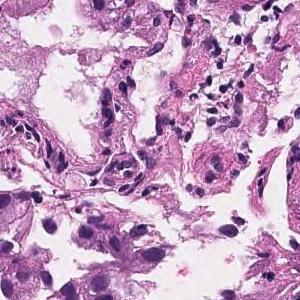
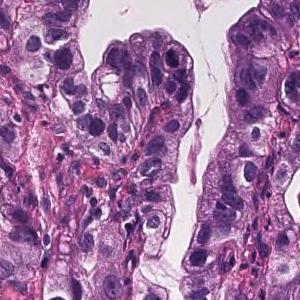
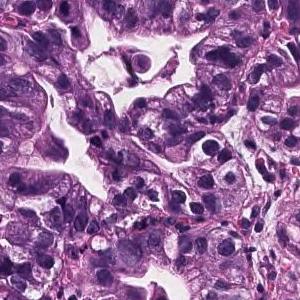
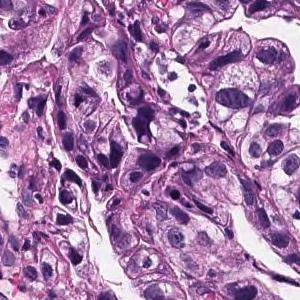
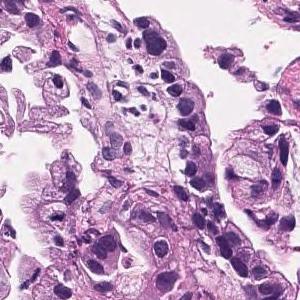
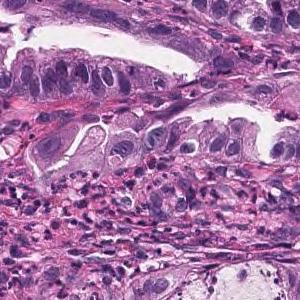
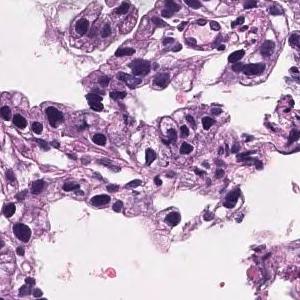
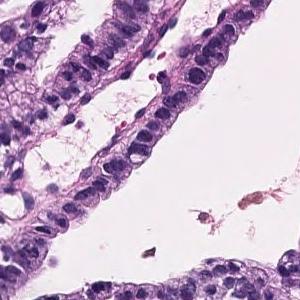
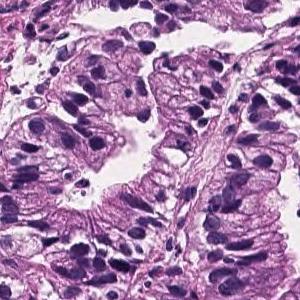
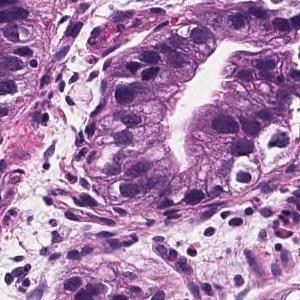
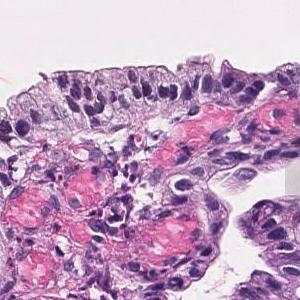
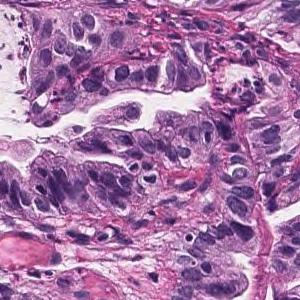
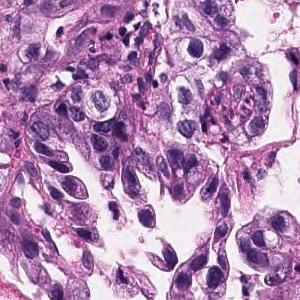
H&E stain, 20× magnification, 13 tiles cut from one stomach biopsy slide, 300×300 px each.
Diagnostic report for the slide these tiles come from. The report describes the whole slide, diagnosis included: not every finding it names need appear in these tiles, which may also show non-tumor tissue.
Tumor cells are large, highly columnar, large club-shaped nuclei, and are associated with chromatin aggregation. Papillary adenocarcinoma.
